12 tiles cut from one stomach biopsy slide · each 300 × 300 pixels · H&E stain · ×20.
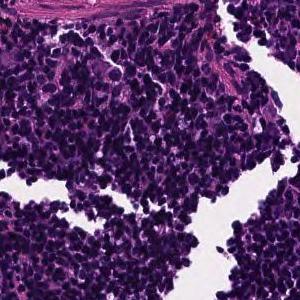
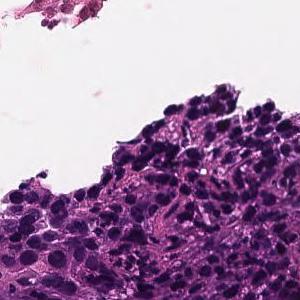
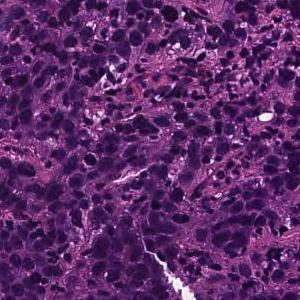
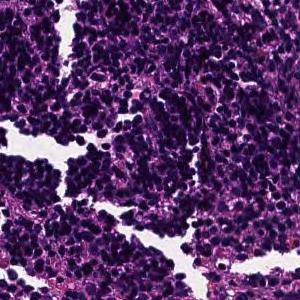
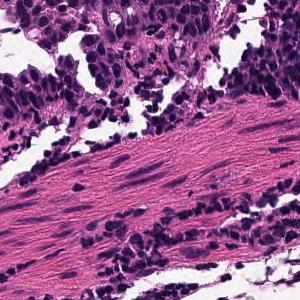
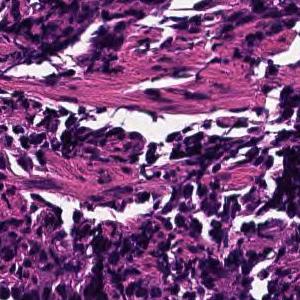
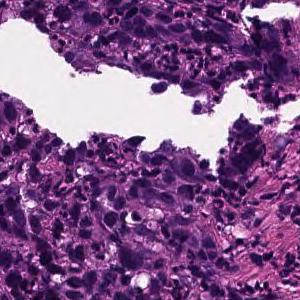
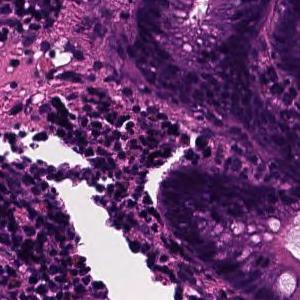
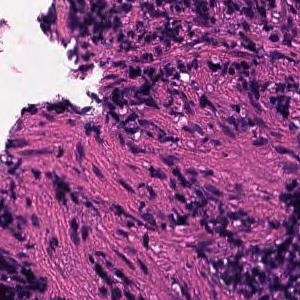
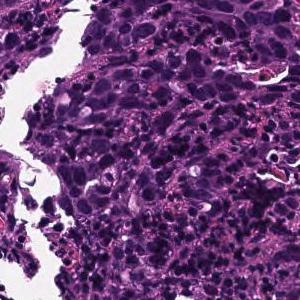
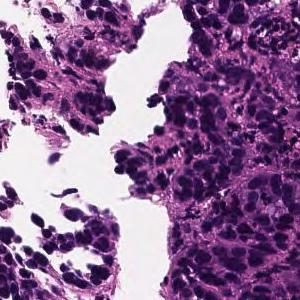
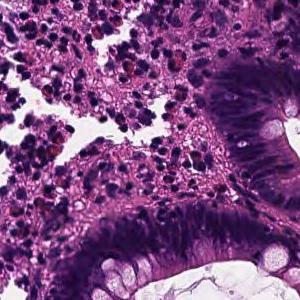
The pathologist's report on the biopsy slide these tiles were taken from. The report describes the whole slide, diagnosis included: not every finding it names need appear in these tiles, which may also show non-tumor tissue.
Tumor tissue consisting of cord-like or small, irregular glandular ducts fused and infiltrated is observed in the superficial epithelium. Poorly differentiated adenocarcinoma, non-solid type
"Non-solid type" is a category of the Japanese Classification of Gastric Carcinoma.
